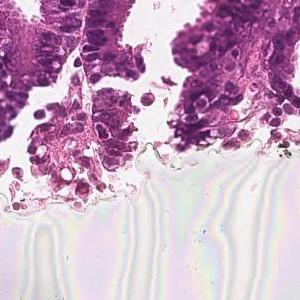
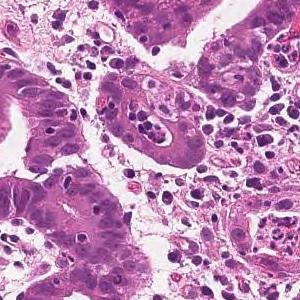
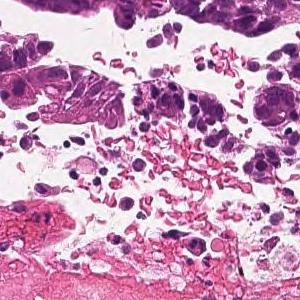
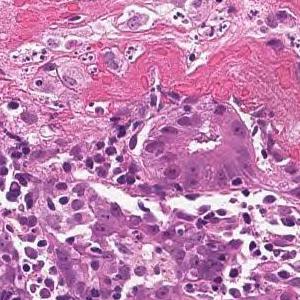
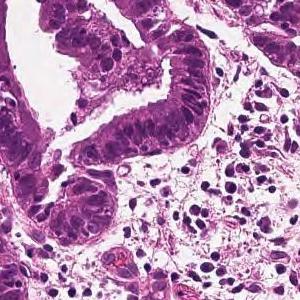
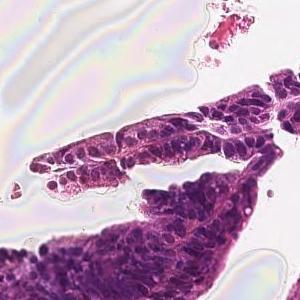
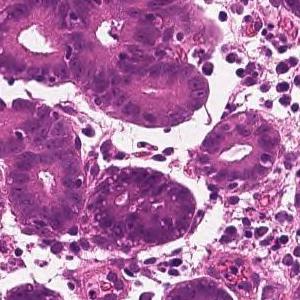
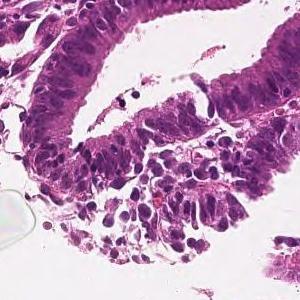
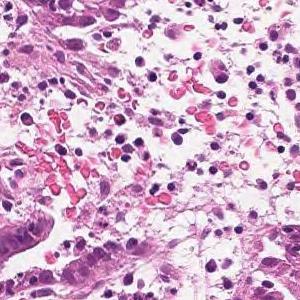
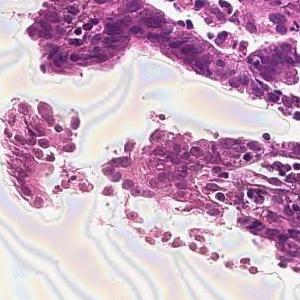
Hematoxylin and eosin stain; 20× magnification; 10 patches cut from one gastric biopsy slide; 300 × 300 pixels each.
Diagnostic report for the slide these tiles come from. The report and the diagnosis describe the slide as a whole, so these tiles may not show every feature named and may include non-tumor tissue.
On the superficial epithelium, tumor tissue is found in which medium-sized irregular gland ducts fuse with each other and infiltrate. moderately differentiated tubular adenocarcinoma
